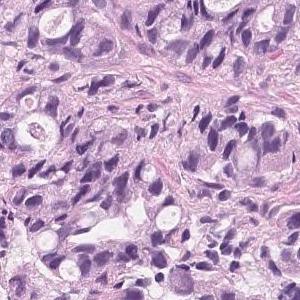
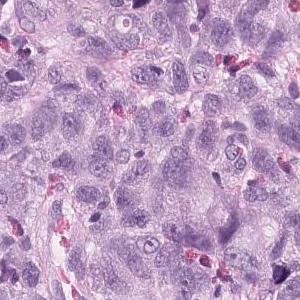
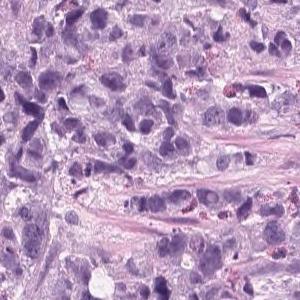
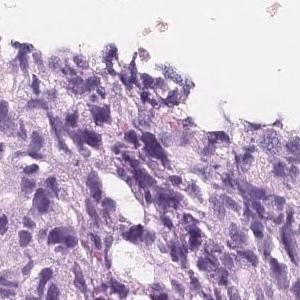
×20; 4 image tiles from a single gastric biopsy slide; each 300 × 300 pixels.
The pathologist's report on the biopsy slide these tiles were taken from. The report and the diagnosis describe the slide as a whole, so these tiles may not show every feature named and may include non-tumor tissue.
Tumor tissue that infiltrates and proliferates by forming small glandular cavities in the superficial layer to the submucosa or forming a mass is observed. moderately differentiated tubular adenocarcinoma
